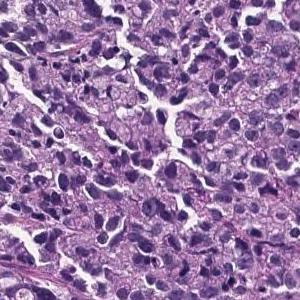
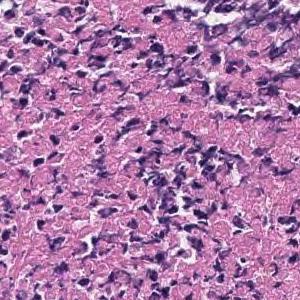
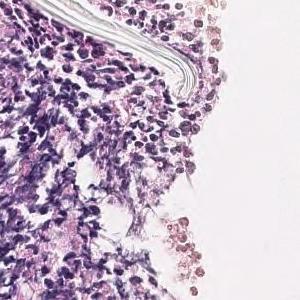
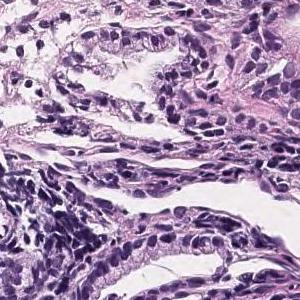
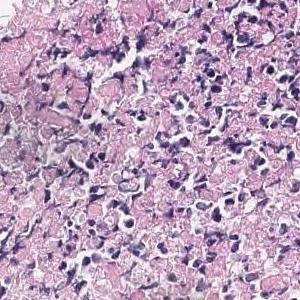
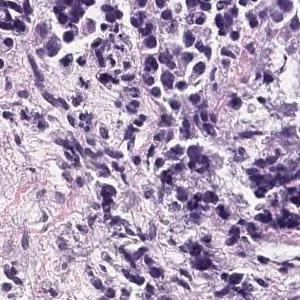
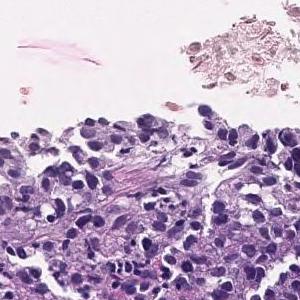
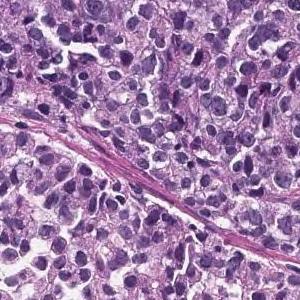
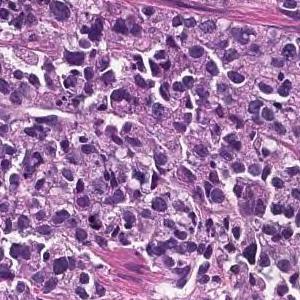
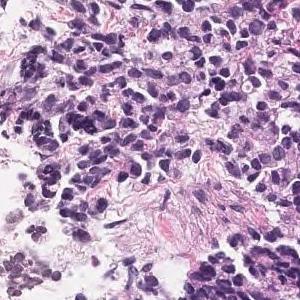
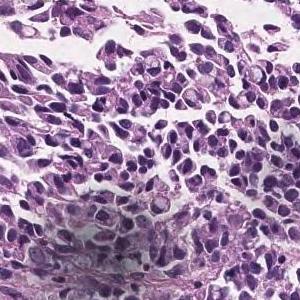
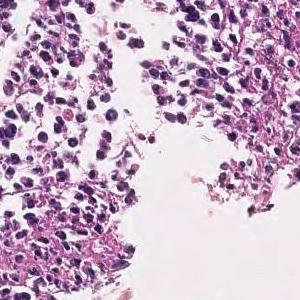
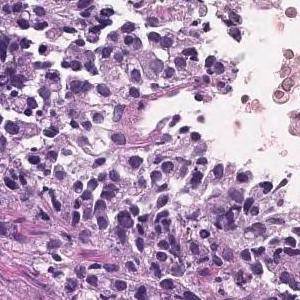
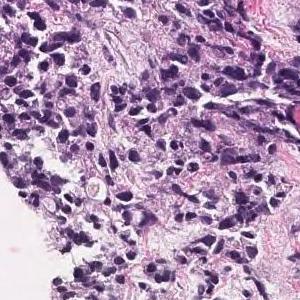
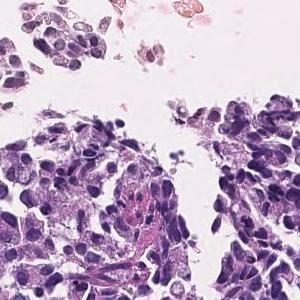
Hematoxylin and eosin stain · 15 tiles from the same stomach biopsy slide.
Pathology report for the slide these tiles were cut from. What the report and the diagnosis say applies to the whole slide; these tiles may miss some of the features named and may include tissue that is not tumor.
The superficial epithelium shows a large sheet-like shape, and some tumor tissue infiltrates with small irregular ducts. Poorly differentiated adenocarcinoma, solid-type
Tumor subtype: poorly differentiated adenocarcinoma, solid type. This name comes from the Japanese Classification of Gastric Carcinoma; the WHO 2019 classification calls it tubular adenocarcinoma, poorly differentiated.
